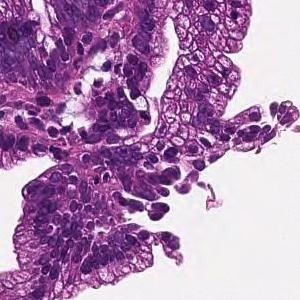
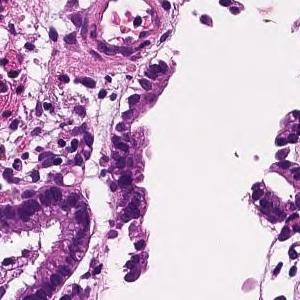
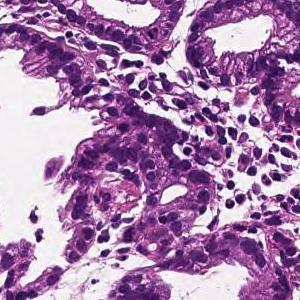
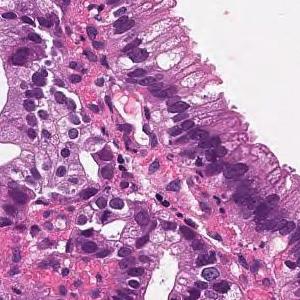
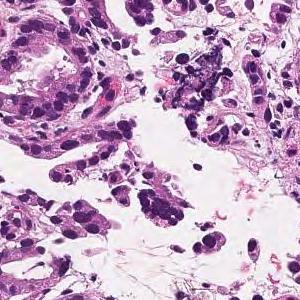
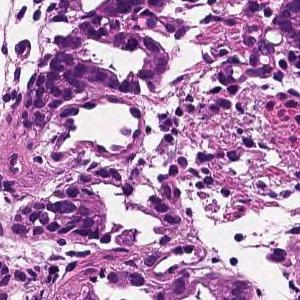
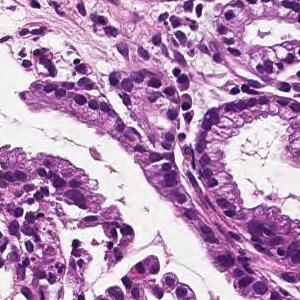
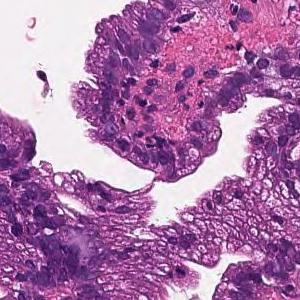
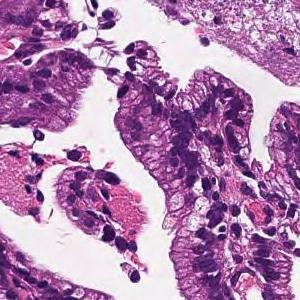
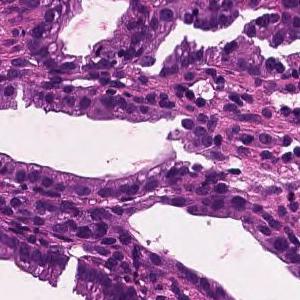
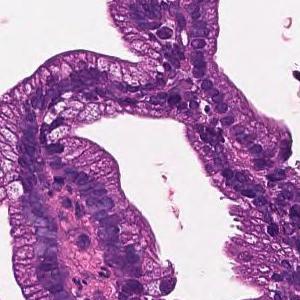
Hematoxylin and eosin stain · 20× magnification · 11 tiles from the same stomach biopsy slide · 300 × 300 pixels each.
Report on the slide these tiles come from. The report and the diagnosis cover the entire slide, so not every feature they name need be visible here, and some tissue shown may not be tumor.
On the superficial epithelium, tumor tissue that infiltrates by forming medium-sized papillary or small irregular ducts is observed. Papillary adenocarcinoma
